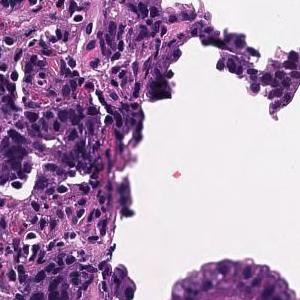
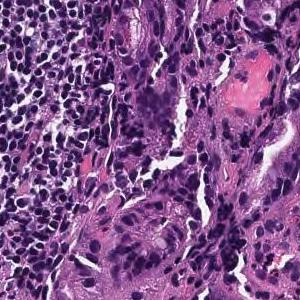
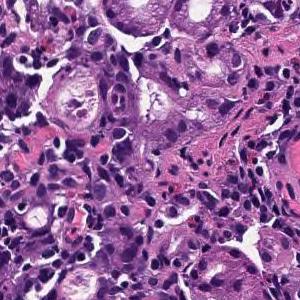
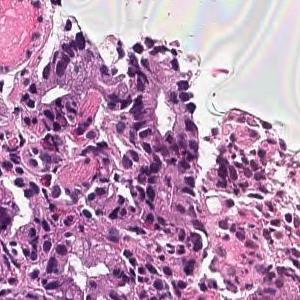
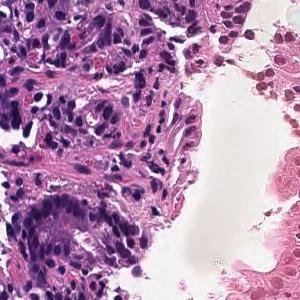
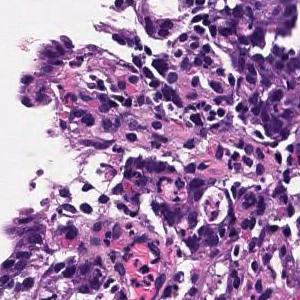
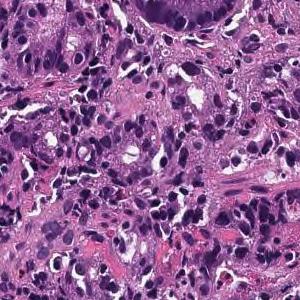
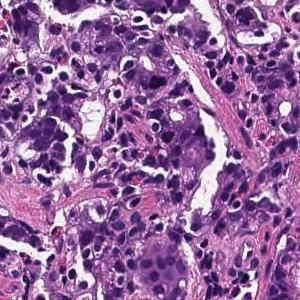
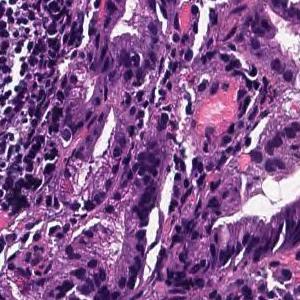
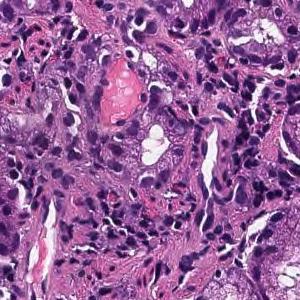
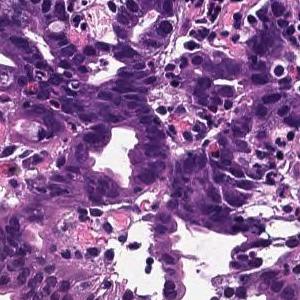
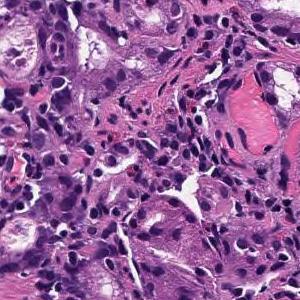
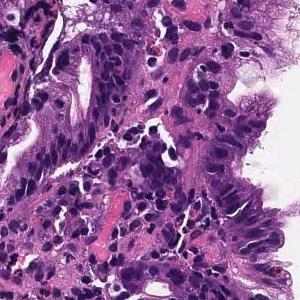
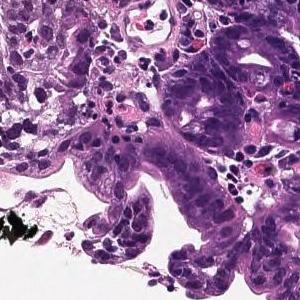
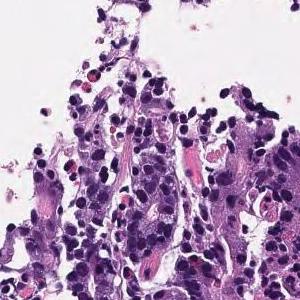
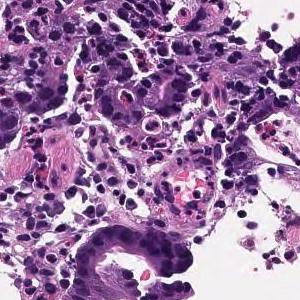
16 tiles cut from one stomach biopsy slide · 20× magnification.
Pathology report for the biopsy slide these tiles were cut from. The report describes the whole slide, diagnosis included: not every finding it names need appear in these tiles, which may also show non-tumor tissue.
In the superficial epithelium, tumor tissue that invades by forming medium-sized to small, irregular ducts is observed. moderately differentiated tubular adenocarcinoma.
